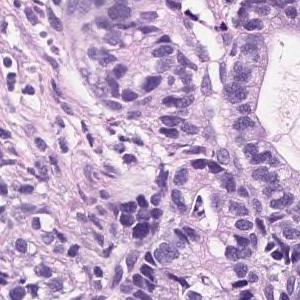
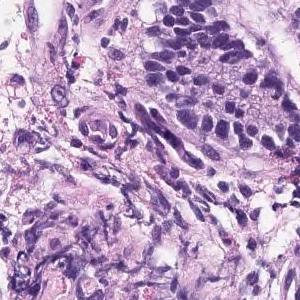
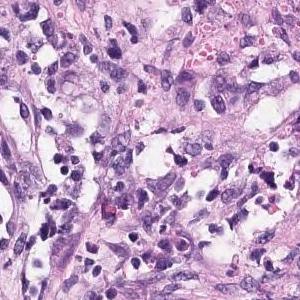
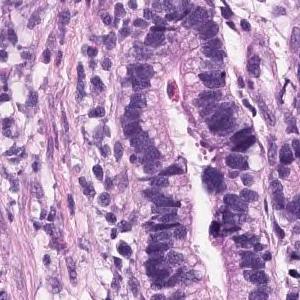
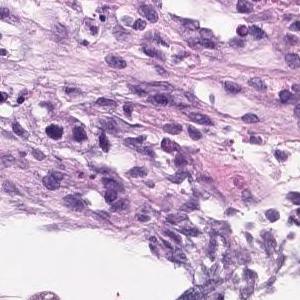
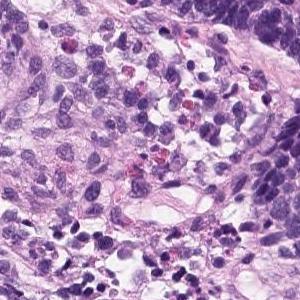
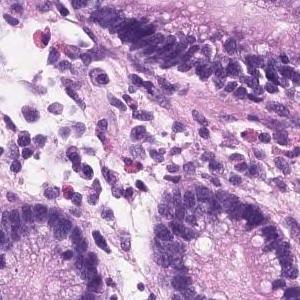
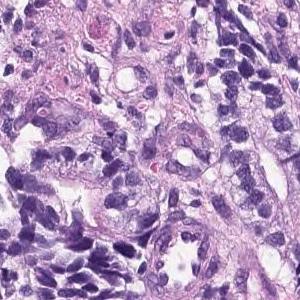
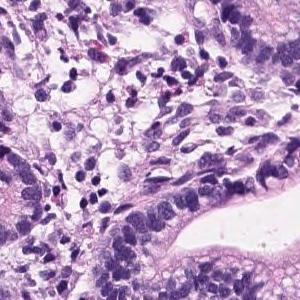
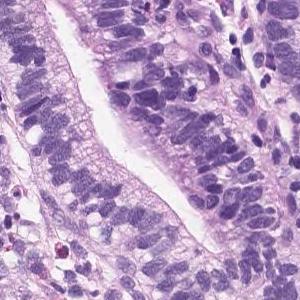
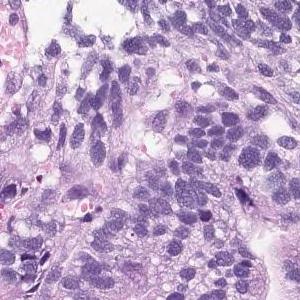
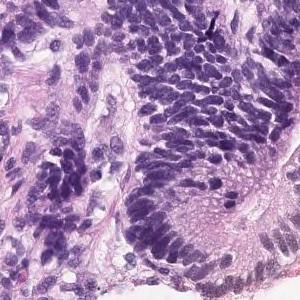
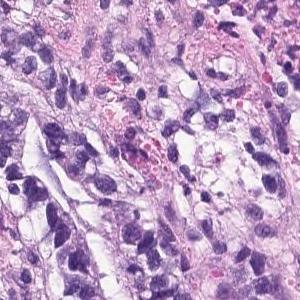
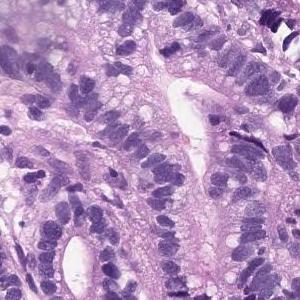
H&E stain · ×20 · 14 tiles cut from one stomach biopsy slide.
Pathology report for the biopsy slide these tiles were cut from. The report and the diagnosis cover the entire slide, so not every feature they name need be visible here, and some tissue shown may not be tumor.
Hyperplasia of atypical epithelial cells with swelling of the nucleus is observed. Moderately diffentiated tubular adenocarcinoma
Classified as moderately differentiated tubular adenocarcinoma.
